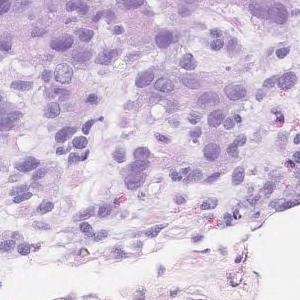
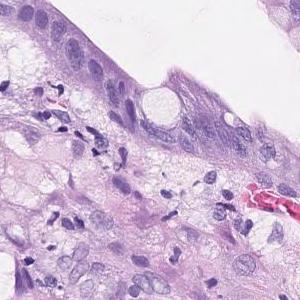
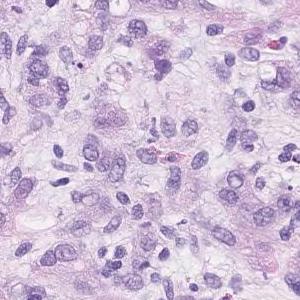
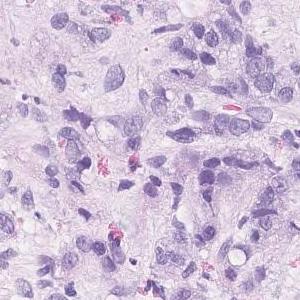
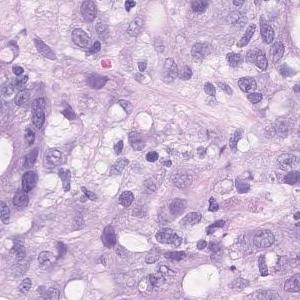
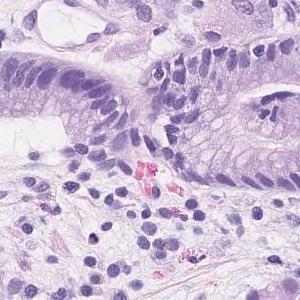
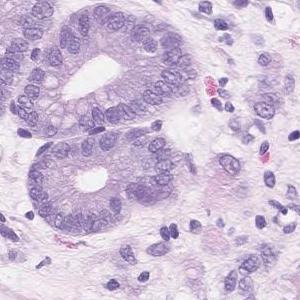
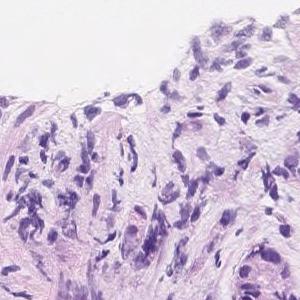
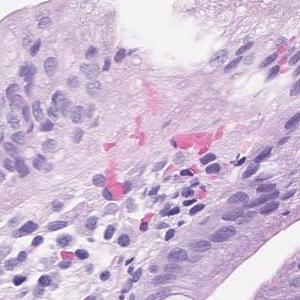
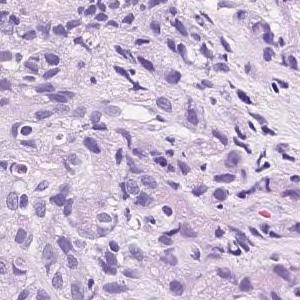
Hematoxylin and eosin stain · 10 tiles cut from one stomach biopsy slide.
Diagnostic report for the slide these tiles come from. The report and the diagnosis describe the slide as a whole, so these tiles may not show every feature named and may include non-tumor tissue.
Group 5, Adenocarcinoma. Poorly differentiated adenocarcinoma, non-solid type
The non-solid type named here is a Japanese Classification of Gastric Carcinoma category.
